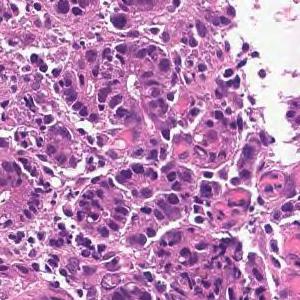
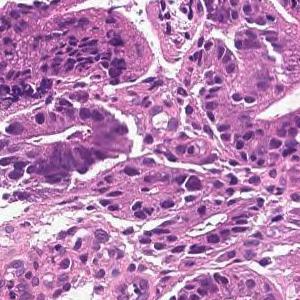
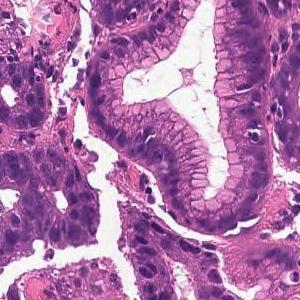
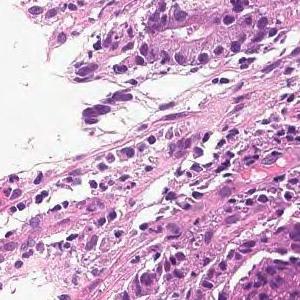
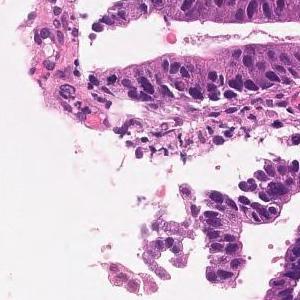
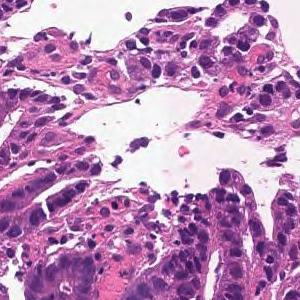
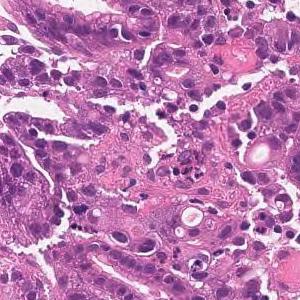
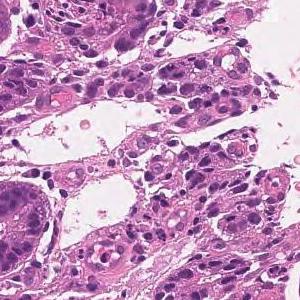
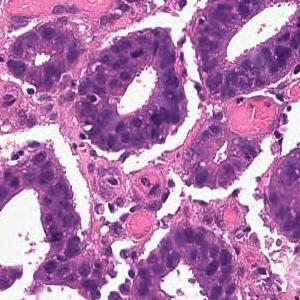
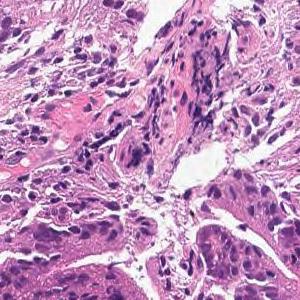
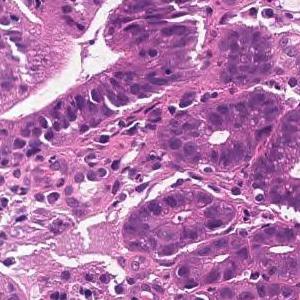
11 tiles cut from one stomach biopsy slide; H&E stain.
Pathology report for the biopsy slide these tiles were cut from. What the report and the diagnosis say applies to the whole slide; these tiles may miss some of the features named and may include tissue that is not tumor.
From the superficial epithelium to the muscularis mucosae, tumor tissue consisting of medium-sized and irregular glandular ducts infiltrating is observed. Well differentiated tubular adenocarcinoma
